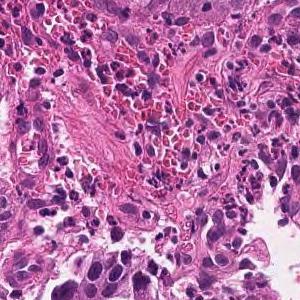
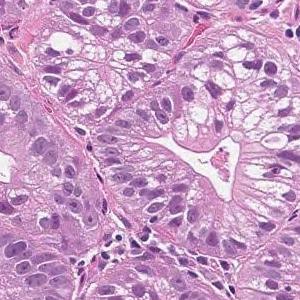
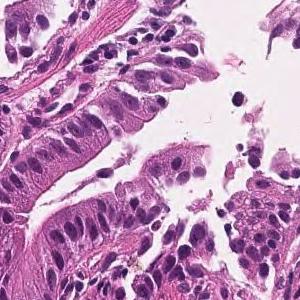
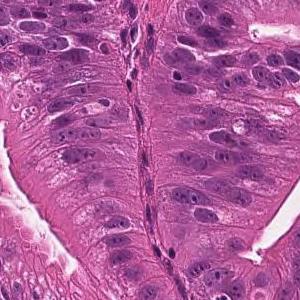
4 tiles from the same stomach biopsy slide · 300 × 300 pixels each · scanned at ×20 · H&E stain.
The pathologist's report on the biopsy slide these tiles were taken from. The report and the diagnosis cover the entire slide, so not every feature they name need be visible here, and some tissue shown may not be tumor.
Tumor cells are large, highly columnar, large club-shaped nuclei, and are associated with chromatin aggregation. Papillary adenocarcinoma.
